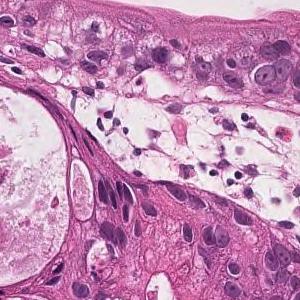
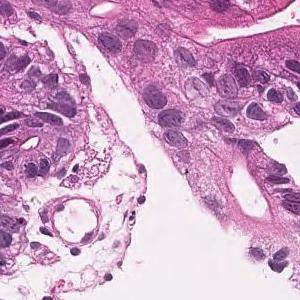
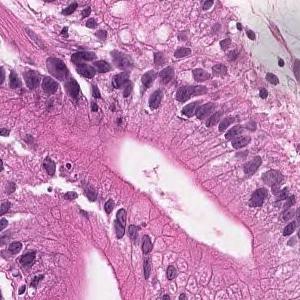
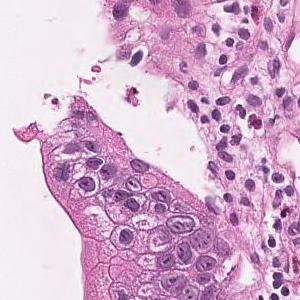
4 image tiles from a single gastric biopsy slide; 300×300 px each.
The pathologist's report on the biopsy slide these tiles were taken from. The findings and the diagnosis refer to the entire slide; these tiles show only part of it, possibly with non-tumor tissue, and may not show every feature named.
On the superficial epithelium, tumor tissue that infiltrates by forming medium-sized papillary or small irregular ducts is observed. Papillary adenocarcinoma
